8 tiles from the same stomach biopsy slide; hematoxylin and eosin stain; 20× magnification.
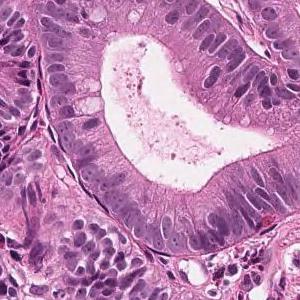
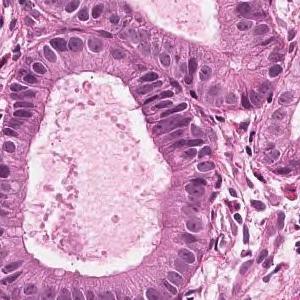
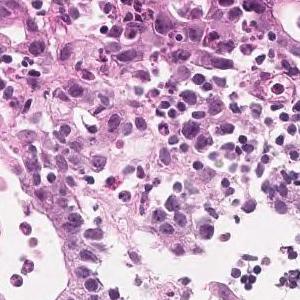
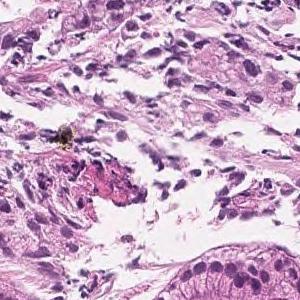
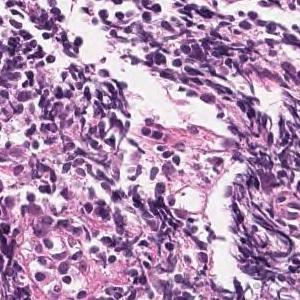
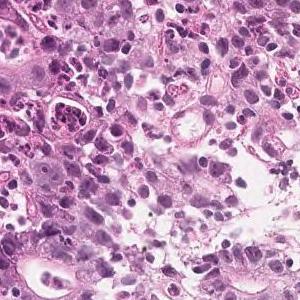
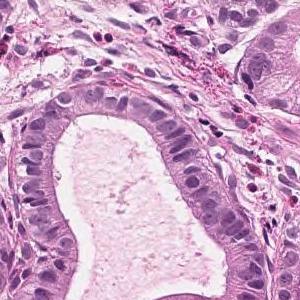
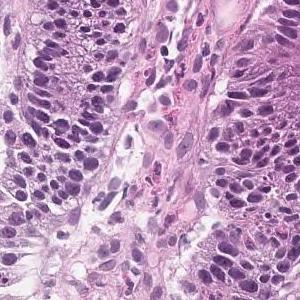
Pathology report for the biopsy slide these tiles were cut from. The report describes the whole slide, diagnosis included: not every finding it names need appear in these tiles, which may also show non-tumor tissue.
On the superficial epithelium, tumor tissue consisting of large, irregular glandular ducts partially fused and infiltrated is observed. Well to moderately differentiated tubular adenocarcinoma (well differentiated tubular adenocarcinoma, moderately differentiated tubular adenocarcinoma)
Subtype: Well to moderately differentiated tubular adenocarcinoma.
